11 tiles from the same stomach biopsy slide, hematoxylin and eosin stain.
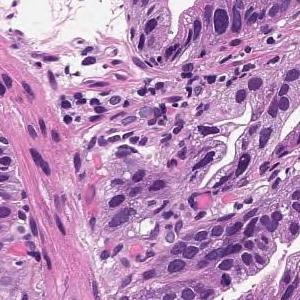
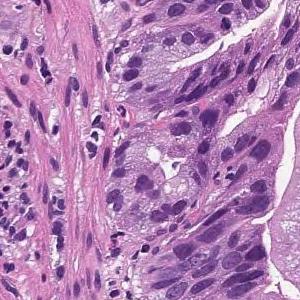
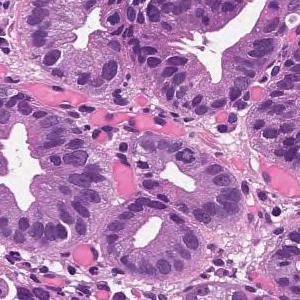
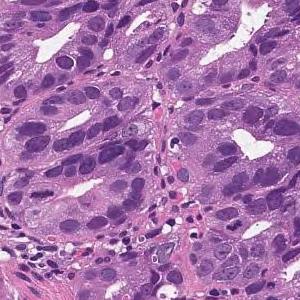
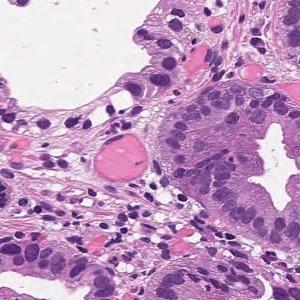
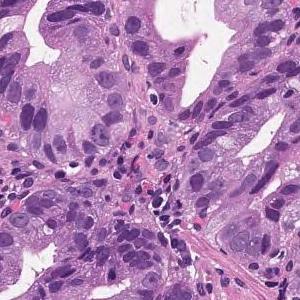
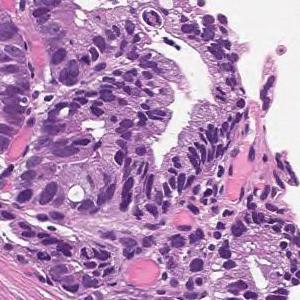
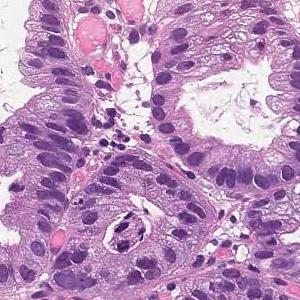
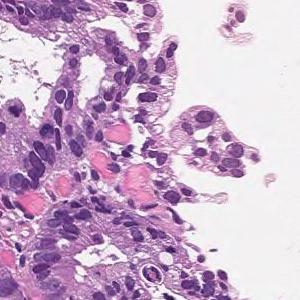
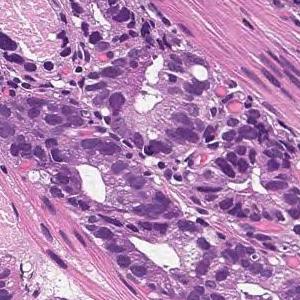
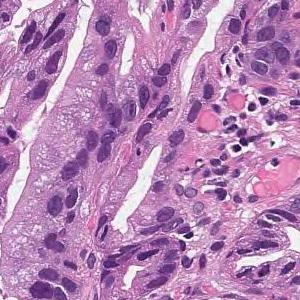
Report on the slide these tiles come from. The findings and the diagnosis refer to the entire slide; these tiles show only part of it, possibly with non-tumor tissue, and may not show every feature named.
On the superficial epithelium, tumor tissue consisting of large irregular glandular ducts partially fused and infiltrated is observed. Well to moderately differentiated tubular adenocarcinoma (well differentiated tubular adenocarcinoma, moderately differentiated tubular adenocarcinoma)
Histological subtype: Well to moderately differentiated tubular adenocarcinoma.
